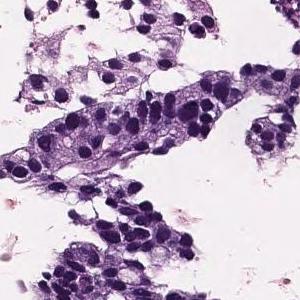
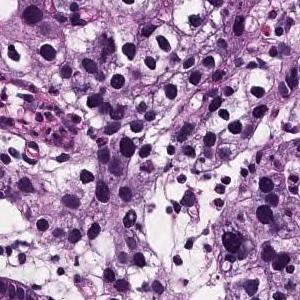
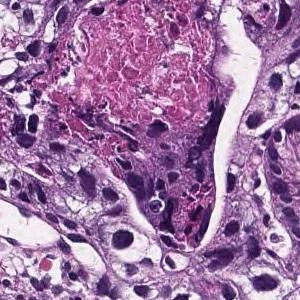
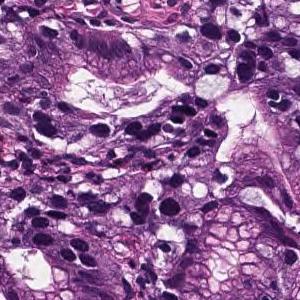
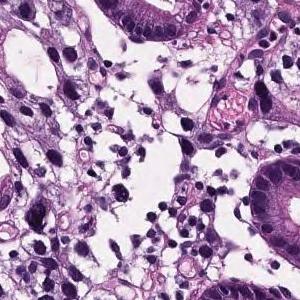
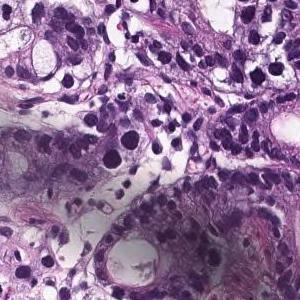
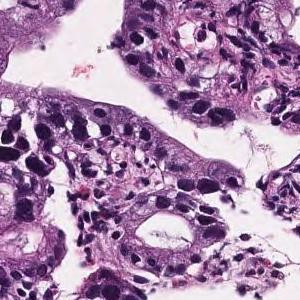
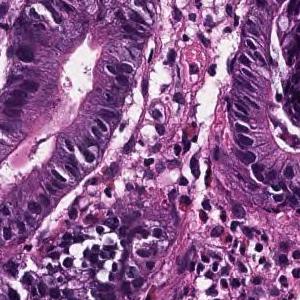
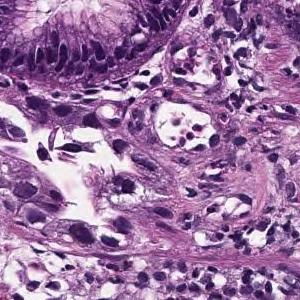
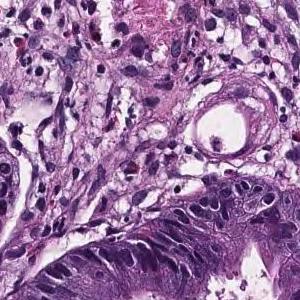
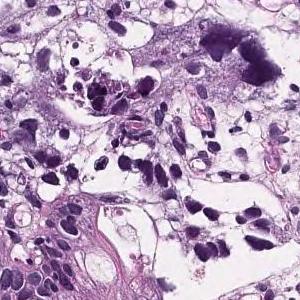
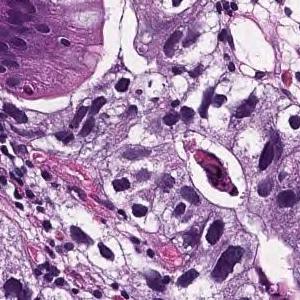
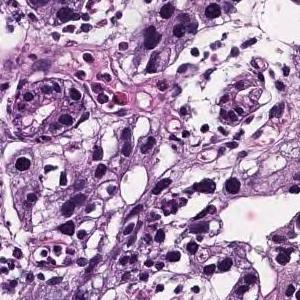
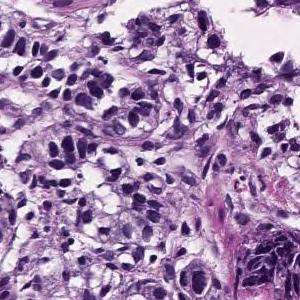
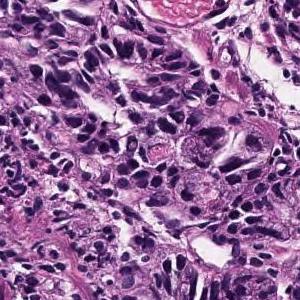
20× magnification, 15 image tiles from a single gastric biopsy slide.
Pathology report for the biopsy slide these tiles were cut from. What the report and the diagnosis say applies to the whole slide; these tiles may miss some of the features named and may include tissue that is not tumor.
In the superficial epithelium, medium to small irregular gland ducts are formed, and in some cases, the ducts are fused to show solid alveolar lesions and infiltrating tumor tissue is observed. Moderately to poorly differentiated adenocarcinoma
